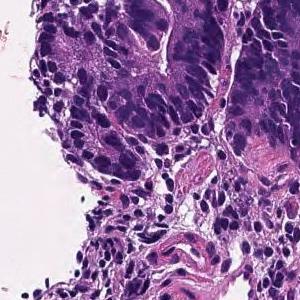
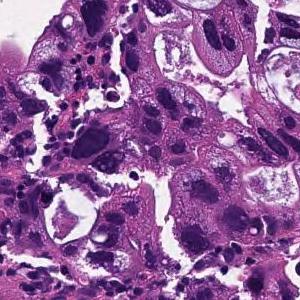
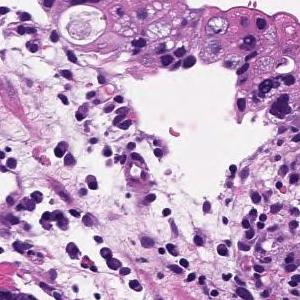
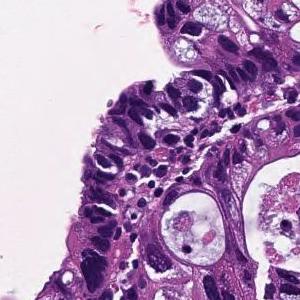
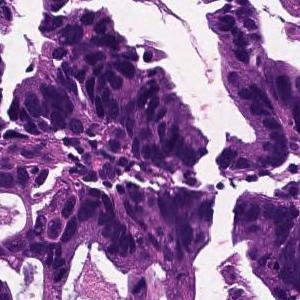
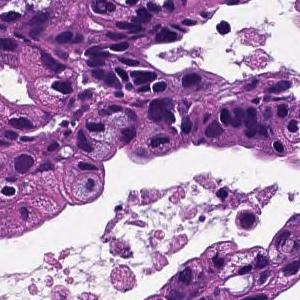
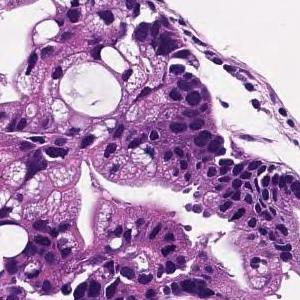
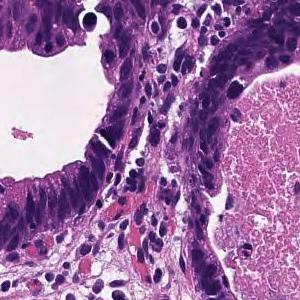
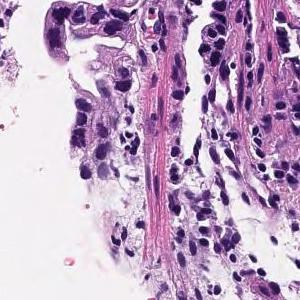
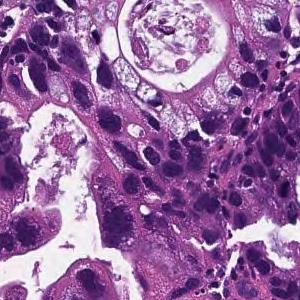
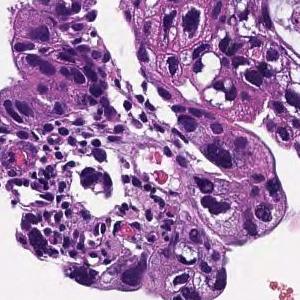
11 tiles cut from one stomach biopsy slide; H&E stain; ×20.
Pathology report for the slide these tiles were cut from. The report describes the whole slide, diagnosis included: not every finding it names need appear in these tiles, which may also show non-tumor tissue.
In the superficial epithelium, tumor tissue that invades by forming medium-sized to small, irregular ducts is observed. moderately differentiated tubular adenocarcinoma.
